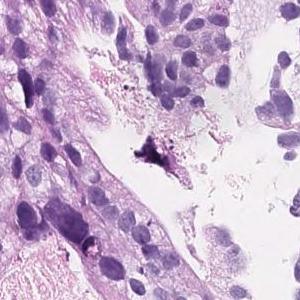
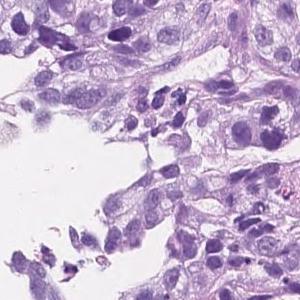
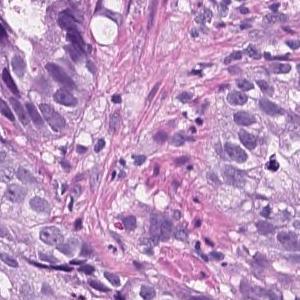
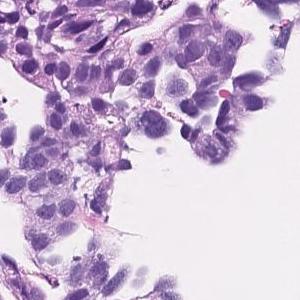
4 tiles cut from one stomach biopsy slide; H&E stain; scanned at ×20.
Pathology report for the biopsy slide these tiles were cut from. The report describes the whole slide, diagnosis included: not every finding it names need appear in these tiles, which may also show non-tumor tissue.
On the superficial epithelium, tumor tissue consisting of an image of large, irregular glandular ducts partially fused and infiltrated is observed. Well to moderately differentiated tubular adenocarcinoma
